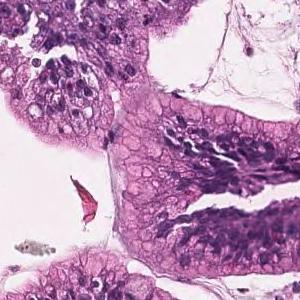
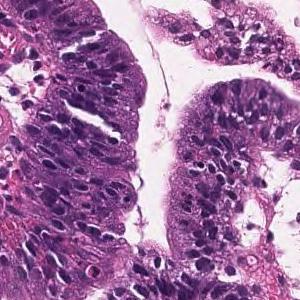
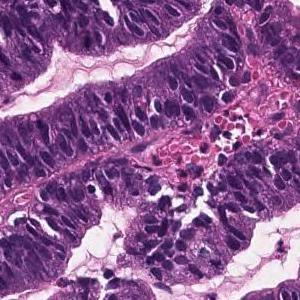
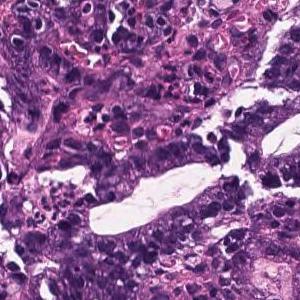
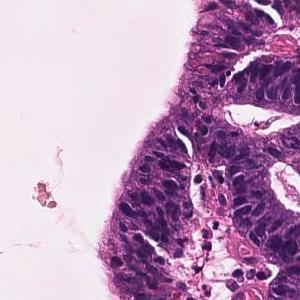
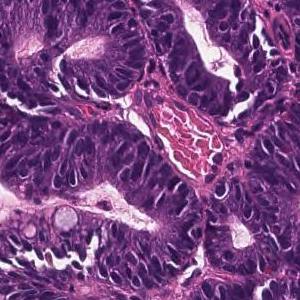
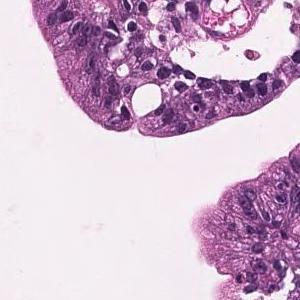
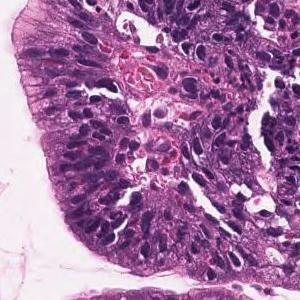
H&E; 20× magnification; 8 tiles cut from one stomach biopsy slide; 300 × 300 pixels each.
Pathology report for the biopsy slide these tiles were cut from. The report describes the whole slide, diagnosis included: not every finding it names need appear in these tiles, which may also show non-tumor tissue.
On the superficial epithelium, tumor tissue that infiltrates by forming medium-sized papillary or small irregular ducts is observed. Papillary adenocarcinoma
